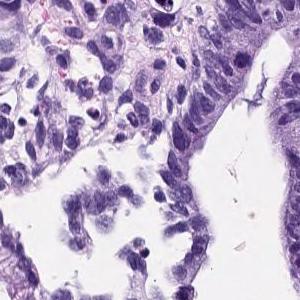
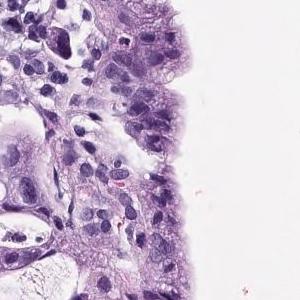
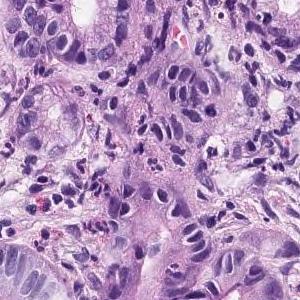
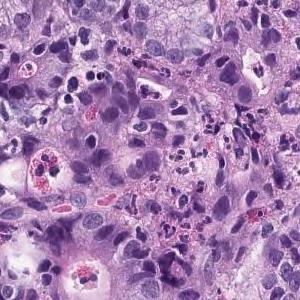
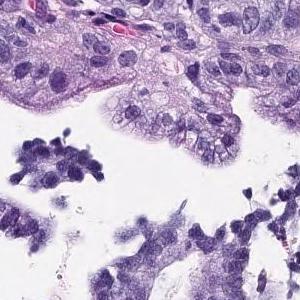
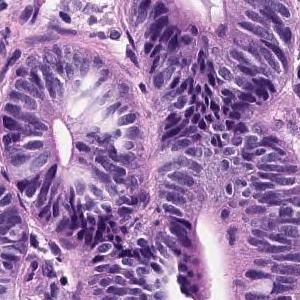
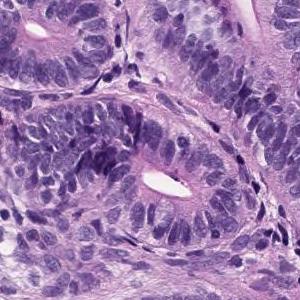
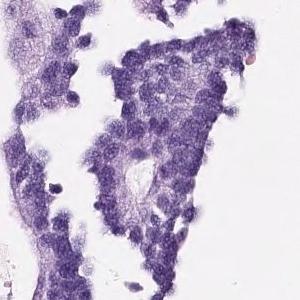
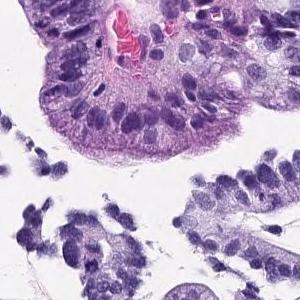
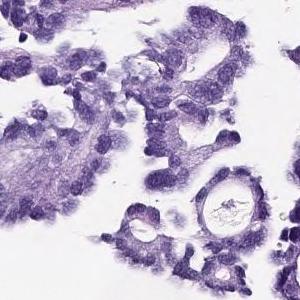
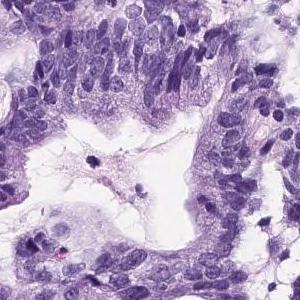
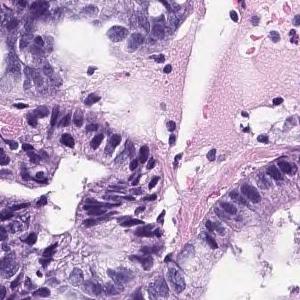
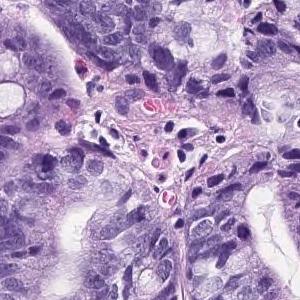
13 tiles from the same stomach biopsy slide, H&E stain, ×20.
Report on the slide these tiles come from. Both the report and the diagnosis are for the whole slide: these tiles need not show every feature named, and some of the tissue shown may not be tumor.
On the superficial epithelium, tumor tissue consisting of medium-sized to large-sized, round or irregular glandular duct growth images is observed. Well differentiated adenocarcinoma.
Subtype: Well differentiated tubular adenocarcinoma.
